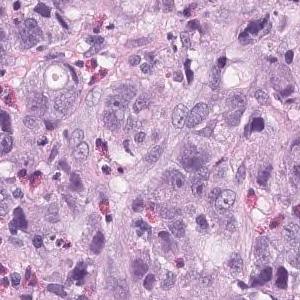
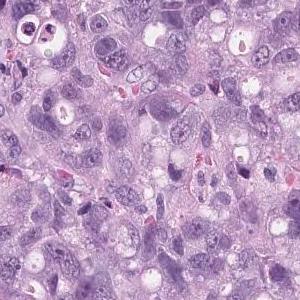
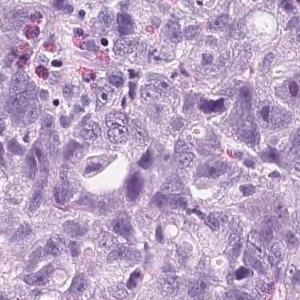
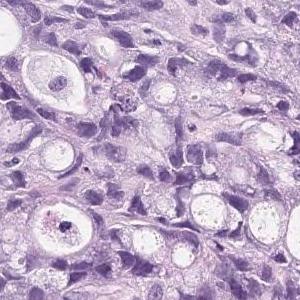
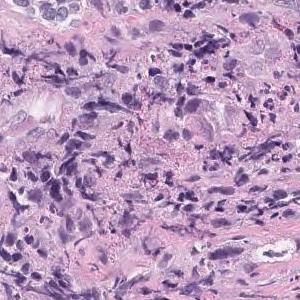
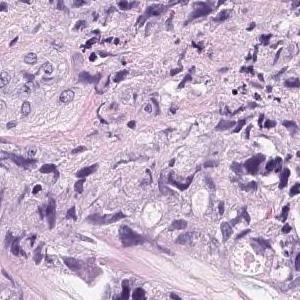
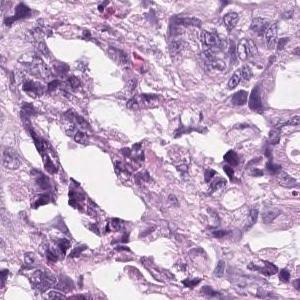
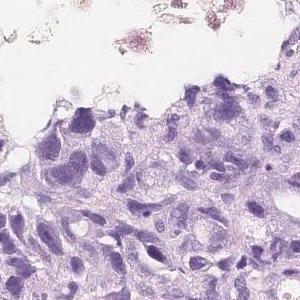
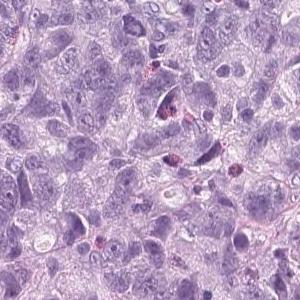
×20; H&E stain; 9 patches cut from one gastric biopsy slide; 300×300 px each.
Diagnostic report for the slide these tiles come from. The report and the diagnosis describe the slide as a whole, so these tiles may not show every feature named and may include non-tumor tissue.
Tumor tissue that infiltrates and proliferates by forming small glandular cavities in the superficial layer to the submucosa or forming a mass is observed. moderately differentiated tubular adenocarcinoma
